H&E · 14 image tiles from a single gastric biopsy slide · 300×300 px each.
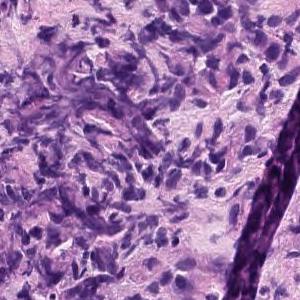
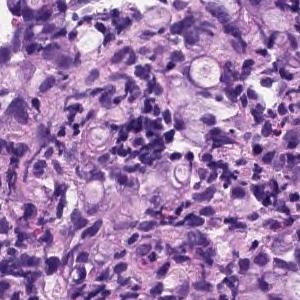
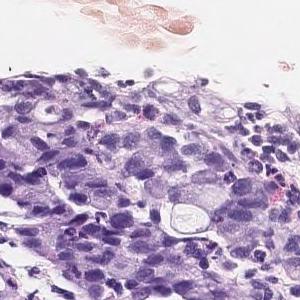
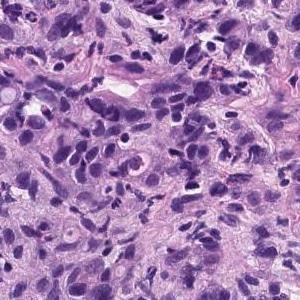
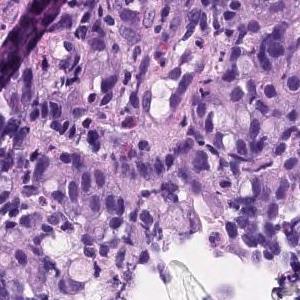
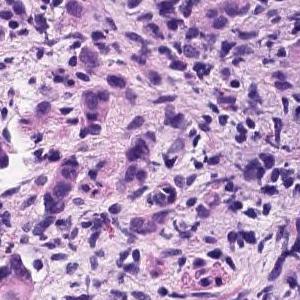
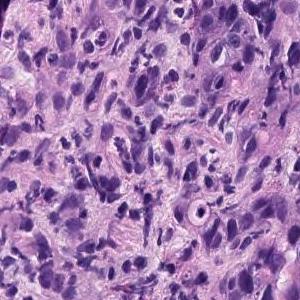
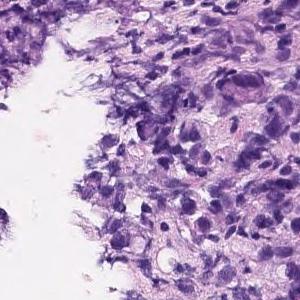
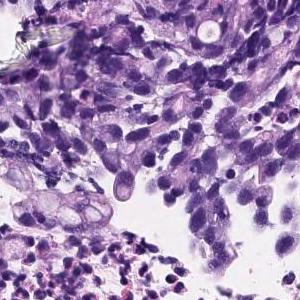
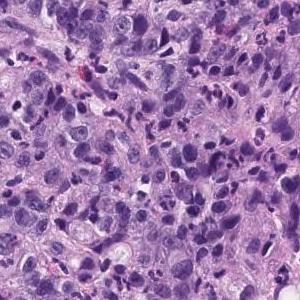
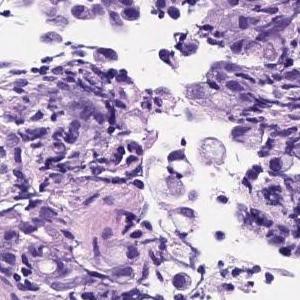
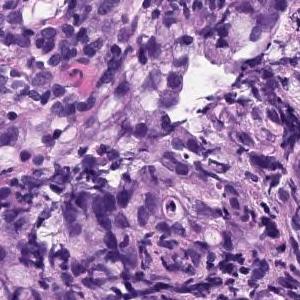
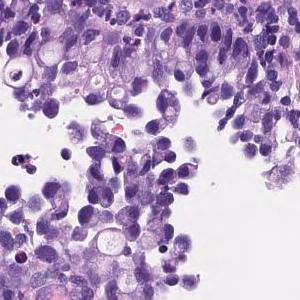
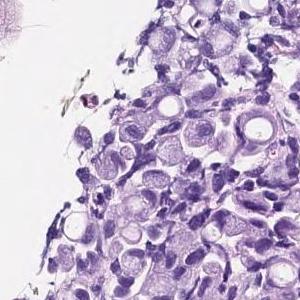
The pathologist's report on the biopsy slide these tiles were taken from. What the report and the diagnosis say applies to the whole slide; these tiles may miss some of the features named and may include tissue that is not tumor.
Diffusely growing signet-ring cells are found in the lamina propria. Signet ring cell carcinoma.
